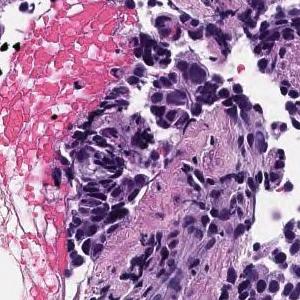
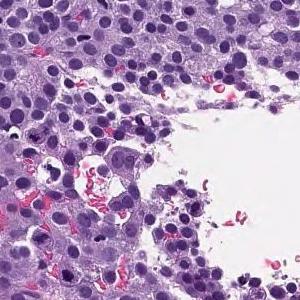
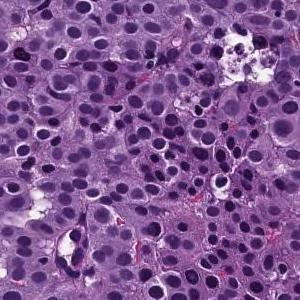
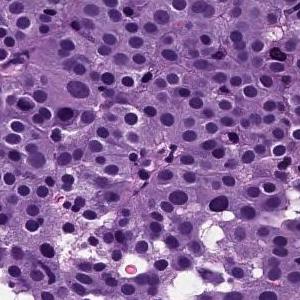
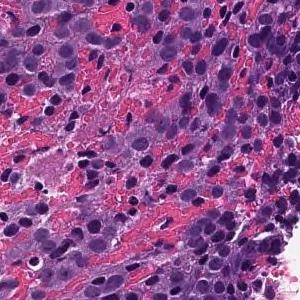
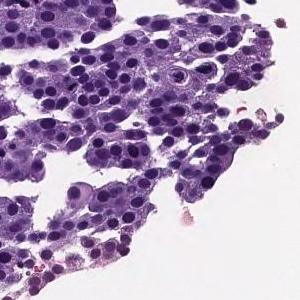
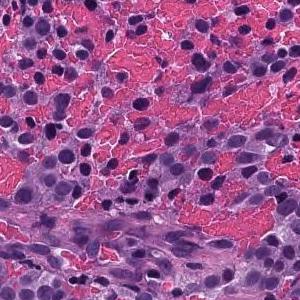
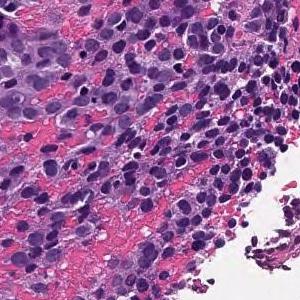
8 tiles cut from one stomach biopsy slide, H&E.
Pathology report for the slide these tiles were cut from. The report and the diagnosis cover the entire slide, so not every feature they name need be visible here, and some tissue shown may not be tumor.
The superficial epithelium shows a large sheet-like shape, and some tumor tissue infiltrates with small irregular ducts. Poorly differentiated adenocarcinoma, solid-type
Histological subtype: Poorly differentiated adenocarcinoma, solid type (Japanese Classification of Gastric Carcinoma). The WHO 2019 equivalent is tubular adenocarcinoma, poorly differentiated.
